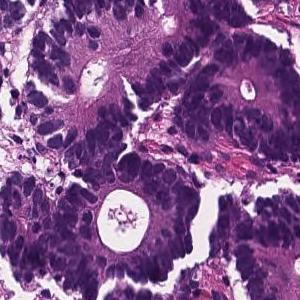
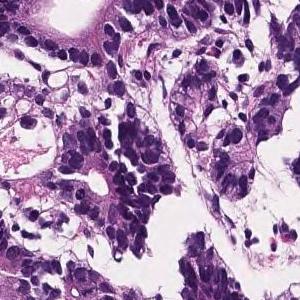
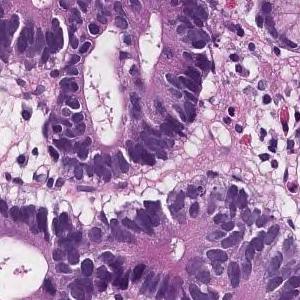
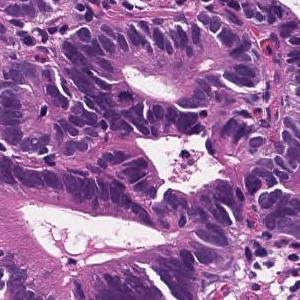
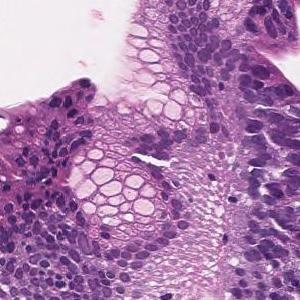
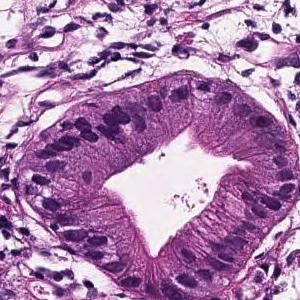
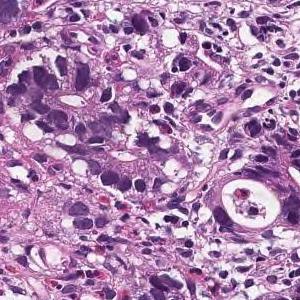
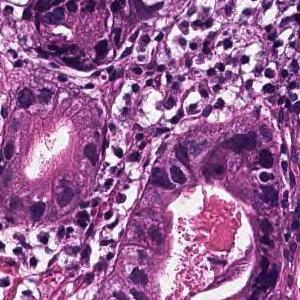
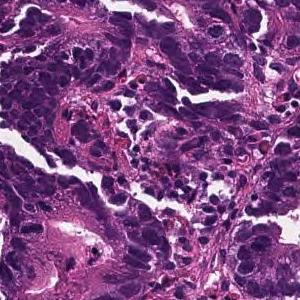
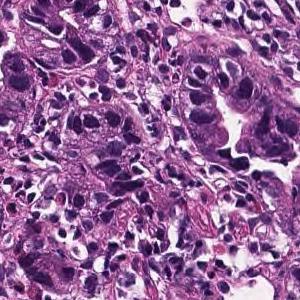
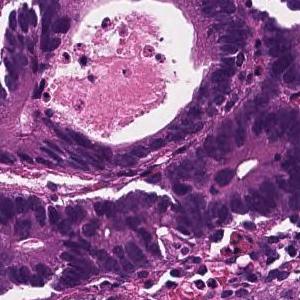
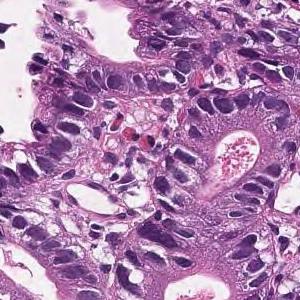
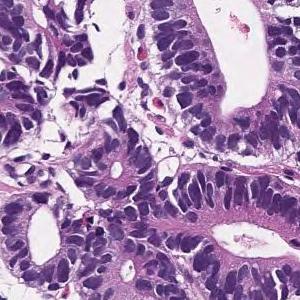
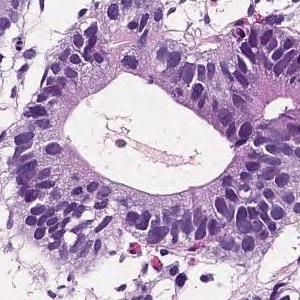
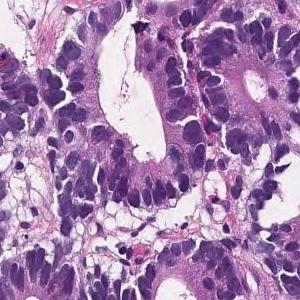
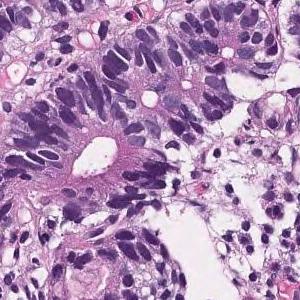
16 patches cut from one gastric biopsy slide; each 300 × 300 pixels; hematoxylin and eosin stain.
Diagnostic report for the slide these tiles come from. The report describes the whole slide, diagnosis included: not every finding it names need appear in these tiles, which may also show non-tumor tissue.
On the superficial epithelium, tumor tissue consisting of large, irregular glandular ducts partially fused and infiltrated is observed. Well to moderately differentiated tubular adenocarcinoma (well differentiated tubular adenocarcinoma, moderately differentiated tubular adenocarcinoma)
Histologic type: Well to moderately differentiated tubular adenocarcinoma.
